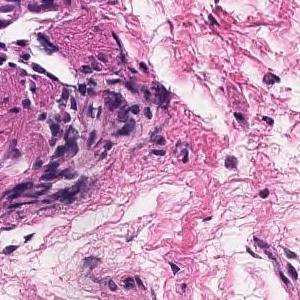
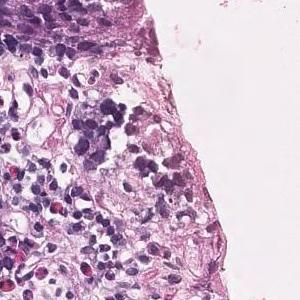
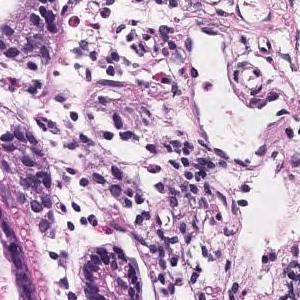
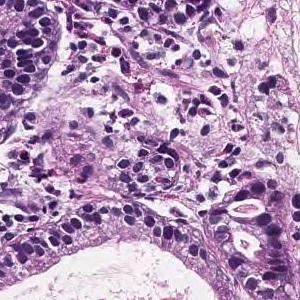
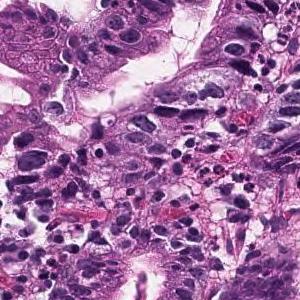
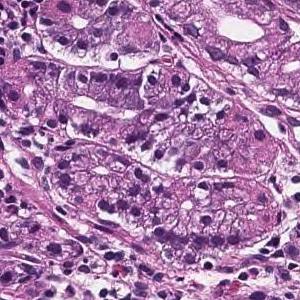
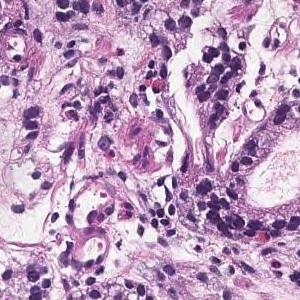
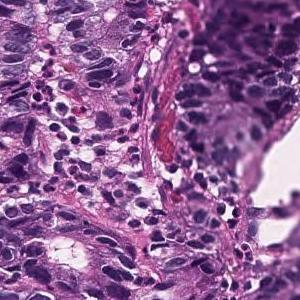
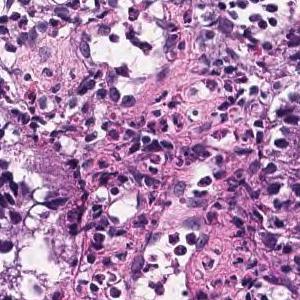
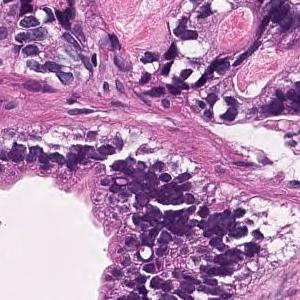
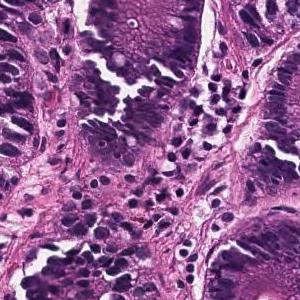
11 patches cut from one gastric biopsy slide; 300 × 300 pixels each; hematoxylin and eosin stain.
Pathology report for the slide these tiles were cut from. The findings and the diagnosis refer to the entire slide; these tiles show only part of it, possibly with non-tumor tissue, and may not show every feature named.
Tumor tissue consisting of medium-sized and irregular ducts is observed infiltrating in the superficial epithelium. Tumor cells are highly columnar, with nuclei aligned basolaterally and polarized. Well differentiated tubular adenocarcinoma.
